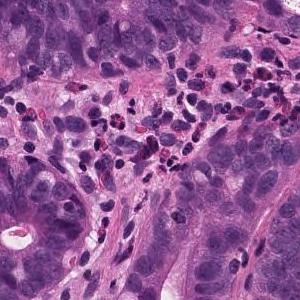
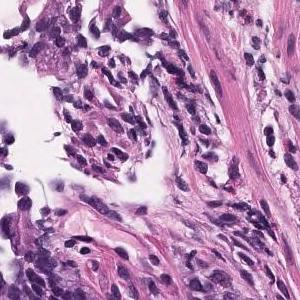
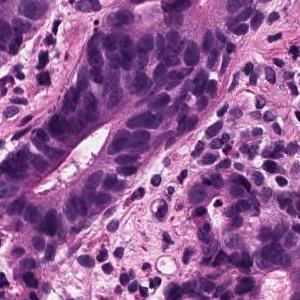
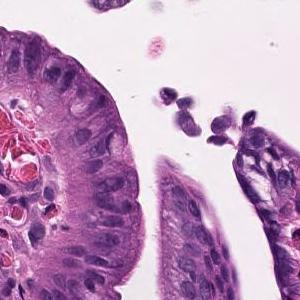
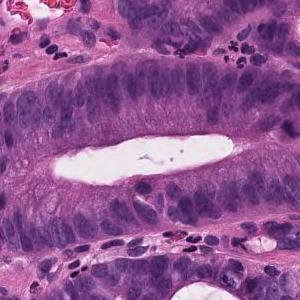
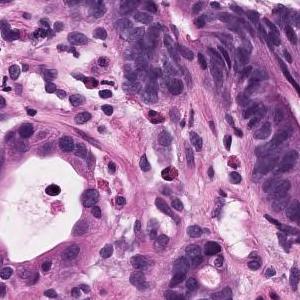
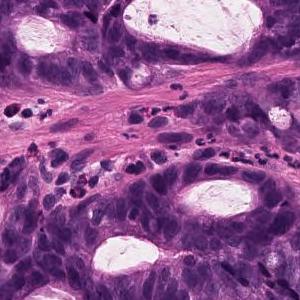
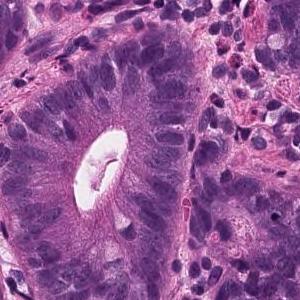
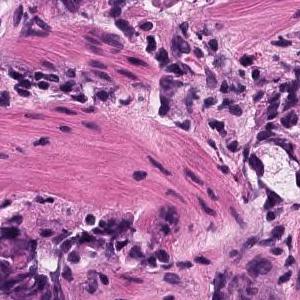
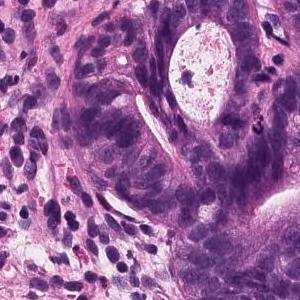
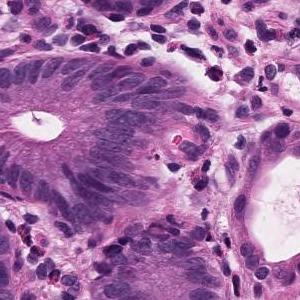
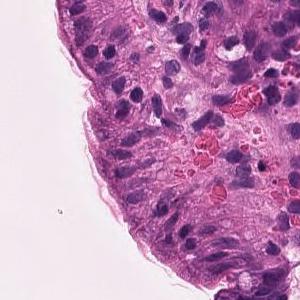
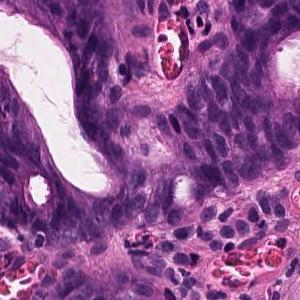
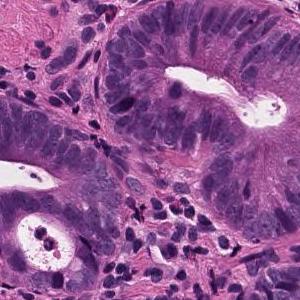
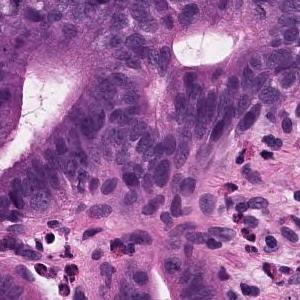
Scanned at ×20; 15 tiles from the same stomach biopsy slide.
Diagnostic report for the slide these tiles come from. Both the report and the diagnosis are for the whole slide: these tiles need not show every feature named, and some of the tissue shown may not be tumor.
Atypical ducts proliferating while irregularly fusing in the lateral direction is observed. Well differentiated tubular adenocarcinoma
